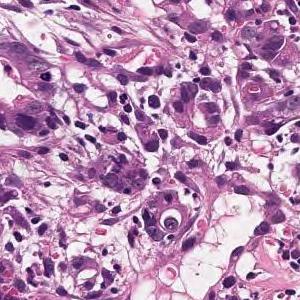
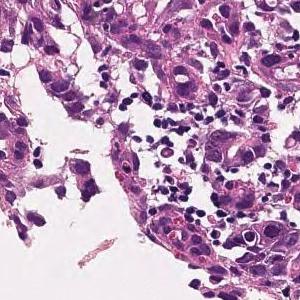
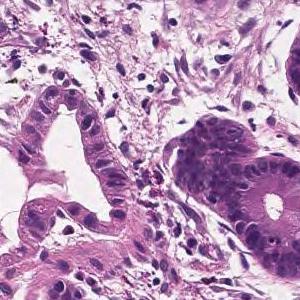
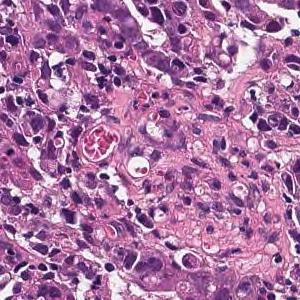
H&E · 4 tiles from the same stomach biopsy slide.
Pathology report for the slide these tiles were cut from. Both the report and the diagnosis are for the whole slide: these tiles need not show every feature named, and some of the tissue shown may not be tumor.
Tumor tissue consisting of cord-like or small, irregular glandular ducts fused and infiltrated is observed in the superficial epithelium. Poorly differentiated adenocarcinoma, non-solid type
The non-solid type named here is a Japanese Classification of Gastric Carcinoma category.
